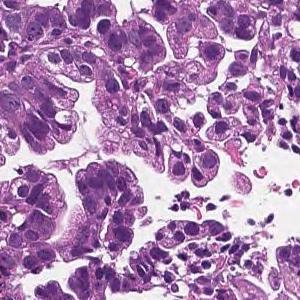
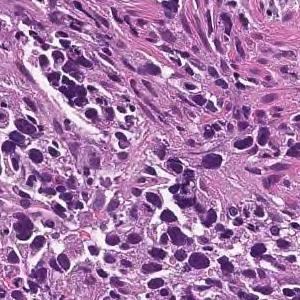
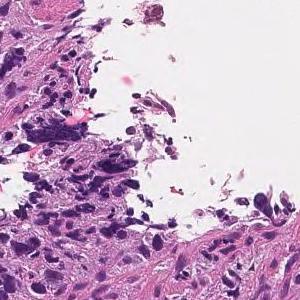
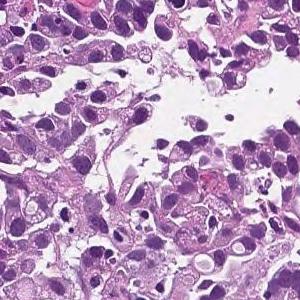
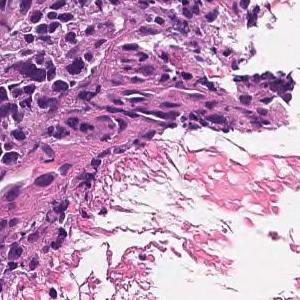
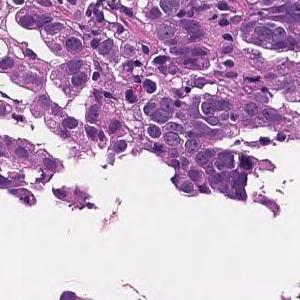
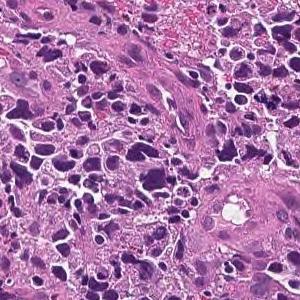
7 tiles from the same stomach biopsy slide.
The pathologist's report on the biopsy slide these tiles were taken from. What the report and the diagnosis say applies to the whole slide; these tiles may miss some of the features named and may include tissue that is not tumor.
The superficial epithelium shows a large sheet-like shape, and some tumor tissue infiltrates with small irregular ducts. Poorly differentiated adenocarcinoma, solid-type
Subtype: Poorly differentiated adenocarcinoma, solid type. This name comes from the Japanese Classification of Gastric Carcinoma; the WHO 2019 classification calls it tubular adenocarcinoma, poorly differentiated.
